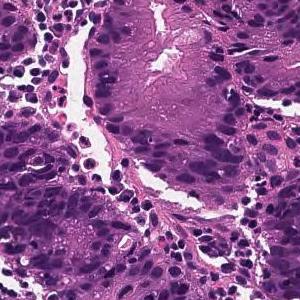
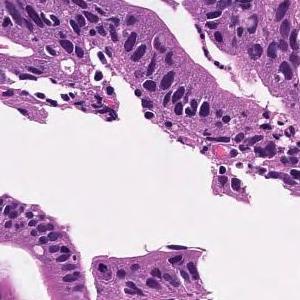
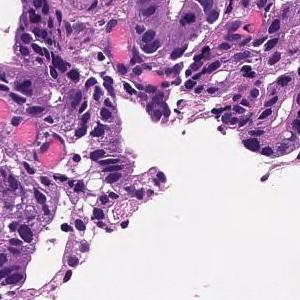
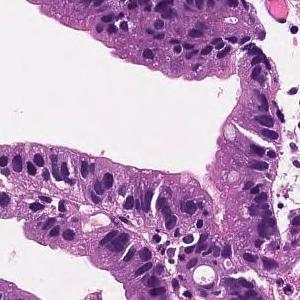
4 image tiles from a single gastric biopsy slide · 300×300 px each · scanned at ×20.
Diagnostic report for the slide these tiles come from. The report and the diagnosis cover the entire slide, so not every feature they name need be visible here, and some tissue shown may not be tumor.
From the superficial epithelium to the muscularis mucosae, tumor tissue consisting of medium-sized and irregular glandular ducts infiltrating is observed. Well differentiated tubular adenocarcinoma
